20× magnification; 10 patches cut from one gastric biopsy slide.
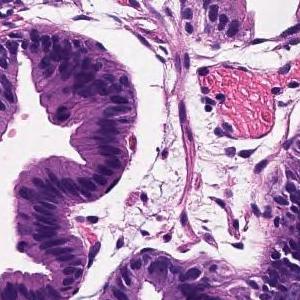
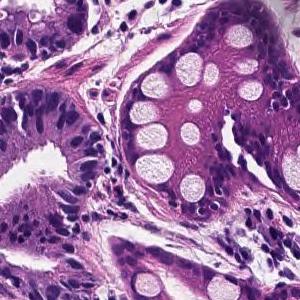
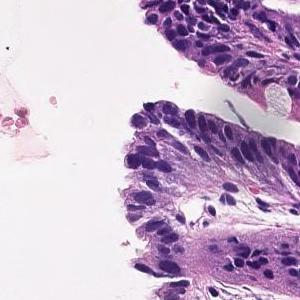
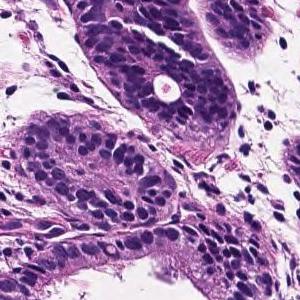
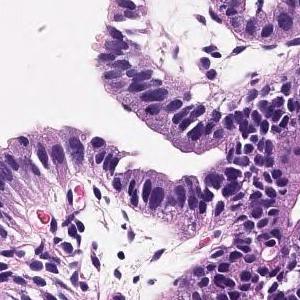
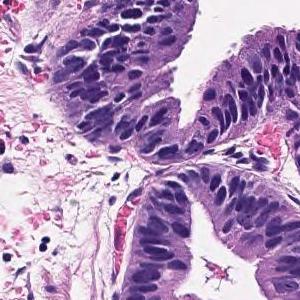
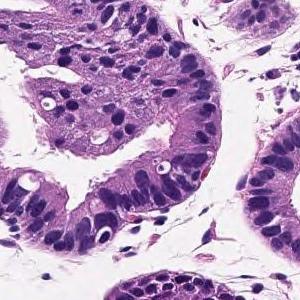
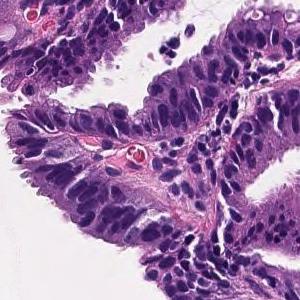
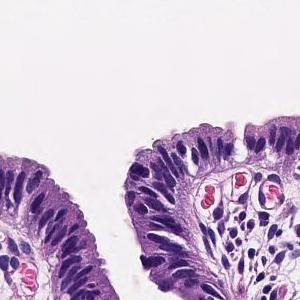
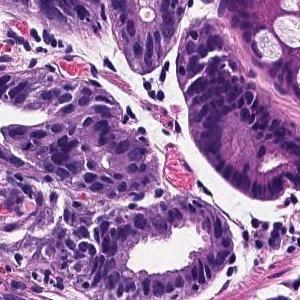
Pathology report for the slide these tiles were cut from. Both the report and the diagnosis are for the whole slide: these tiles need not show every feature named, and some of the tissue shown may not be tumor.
Tumor cells are large, highly columnar, large club-shaped nuclei, and are associated with chromatin aggregation. Papillary adenocarcinoma.
